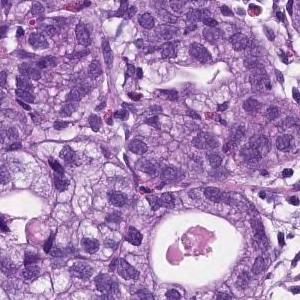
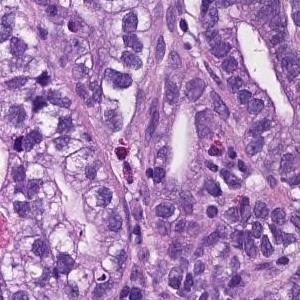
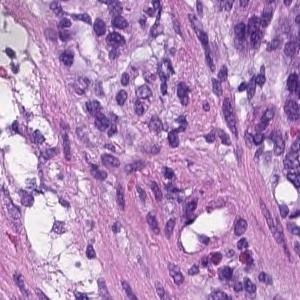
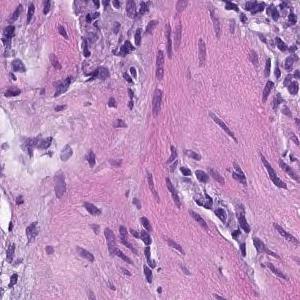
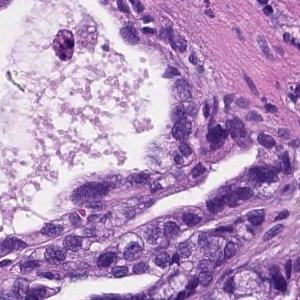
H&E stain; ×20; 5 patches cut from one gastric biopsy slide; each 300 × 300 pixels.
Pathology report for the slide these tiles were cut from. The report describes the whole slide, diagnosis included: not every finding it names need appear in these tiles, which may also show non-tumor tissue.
From the superficial epithelium to the muscularis mucosae, tumor tissue consisting of medium-sized and irregular glandular ducts infiltrating is observed. Well differentiated tubular adenocarcinoma
